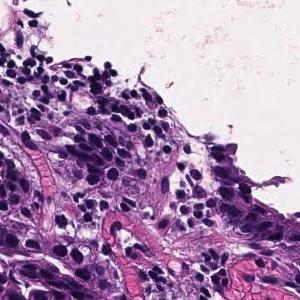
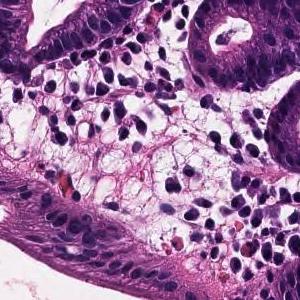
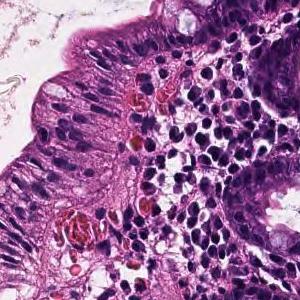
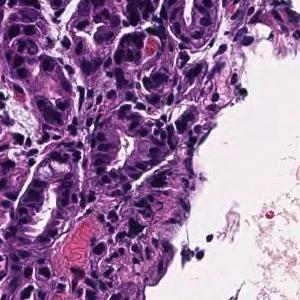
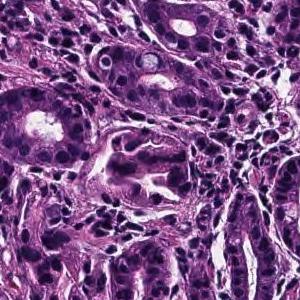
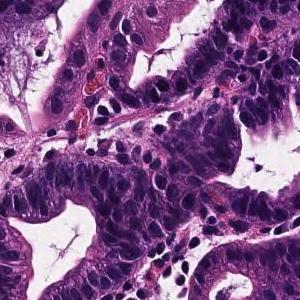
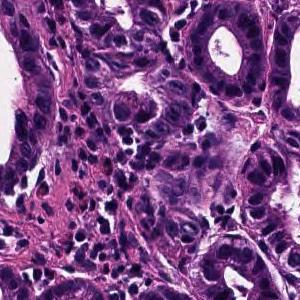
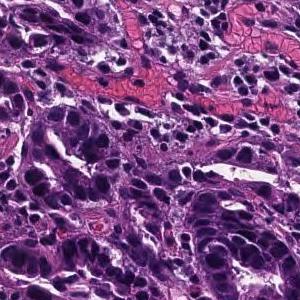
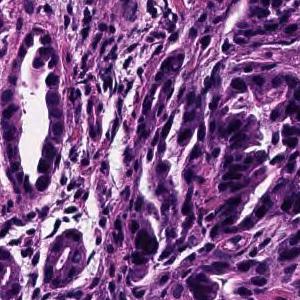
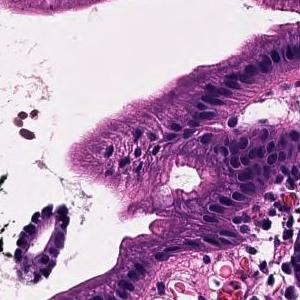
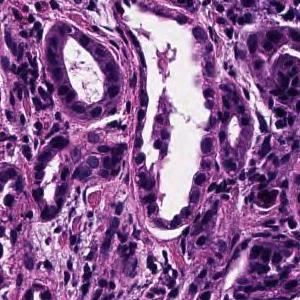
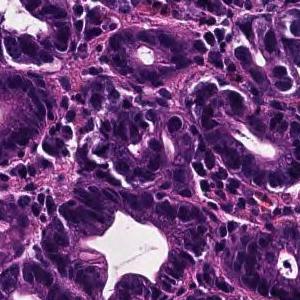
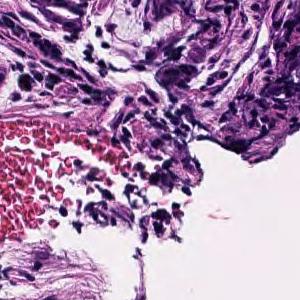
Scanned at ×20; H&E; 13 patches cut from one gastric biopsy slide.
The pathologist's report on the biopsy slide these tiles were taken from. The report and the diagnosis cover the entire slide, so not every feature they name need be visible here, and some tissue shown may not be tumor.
On the superficial epithelium, tumor tissue consisting of proliferative images of medium-sized to small-sized round or irregular glandular ducts is observed. Well differentiated tubular adenocarcinoma
